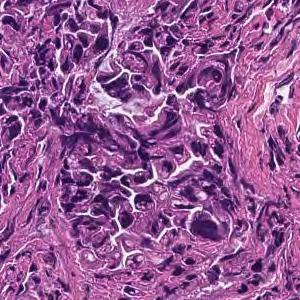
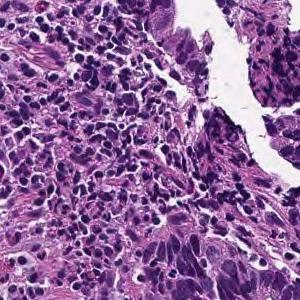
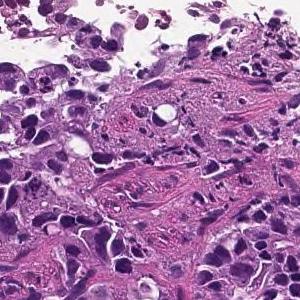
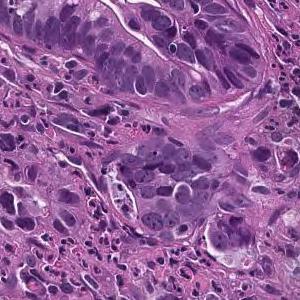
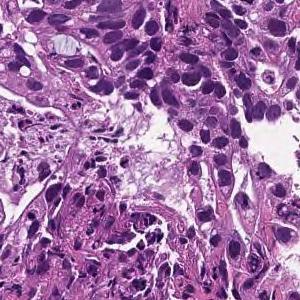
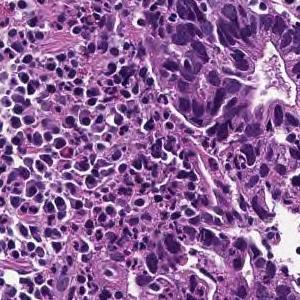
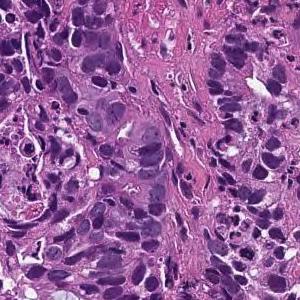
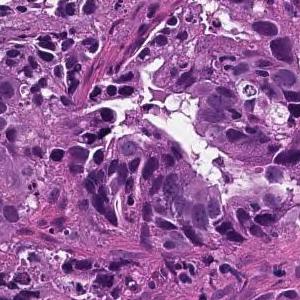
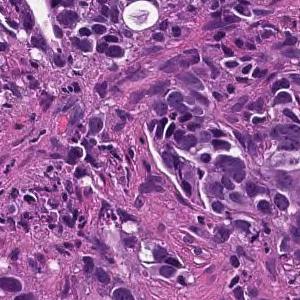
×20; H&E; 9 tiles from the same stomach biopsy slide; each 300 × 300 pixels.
Pathology report for the biopsy slide these tiles were cut from. Both the report and the diagnosis are for the whole slide: these tiles need not show every feature named, and some of the tissue shown may not be tumor.
Tumor tissue consisting of medium-sized, cord-like or irregular glandular infiltration is observed in the superficial epithelium. Poorly differentiated adenocarcinoma, non-solid type or moderately differentiated tubular adenocarcinoma
Histologic type: Moderately to poorly differentiated adenocarcinoma.
"Non-solid type" is a category of the Japanese Classification of Gastric Carcinoma.
